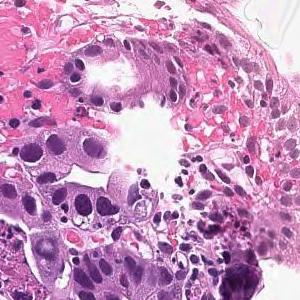
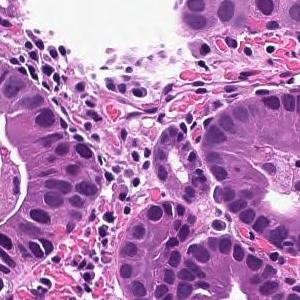
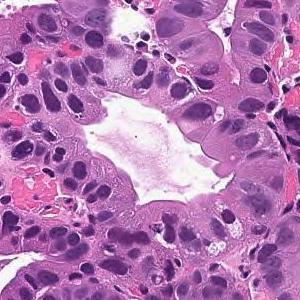
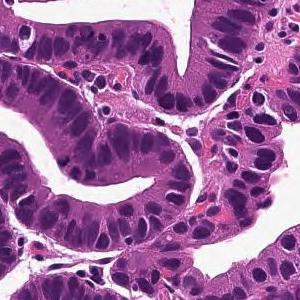
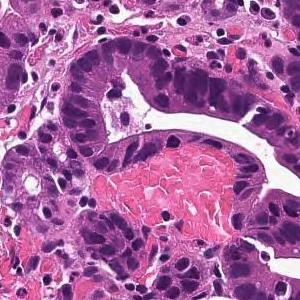
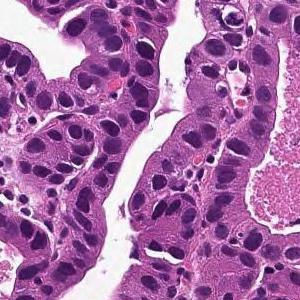
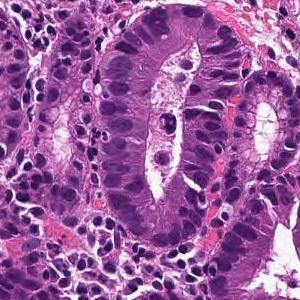
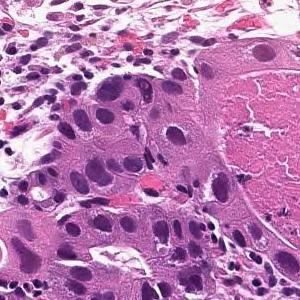
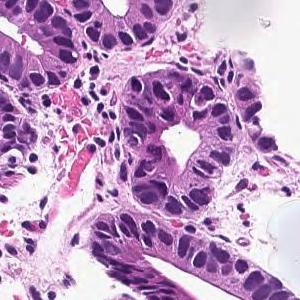
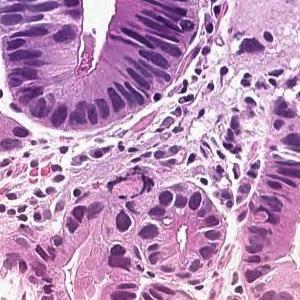
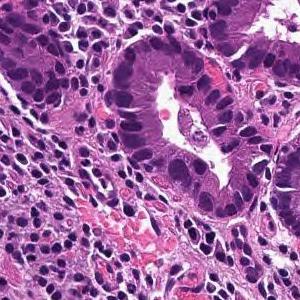
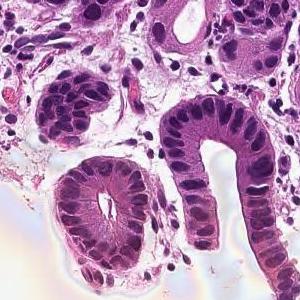
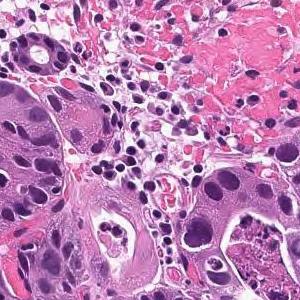
H&E, ×20, 13 tiles from the same stomach biopsy slide, 300×300 px each.
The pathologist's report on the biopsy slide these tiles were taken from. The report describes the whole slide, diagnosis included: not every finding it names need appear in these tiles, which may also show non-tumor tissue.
From the superficial epithelium to the muscularis mucosae, tumor tissue consisting of medium-sized and irregular glandular ducts infiltrating is observed. Well differentiated tubular adenocarcinoma
